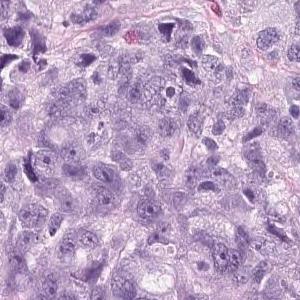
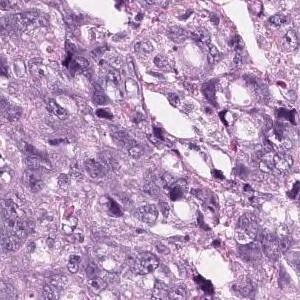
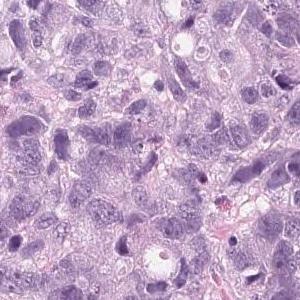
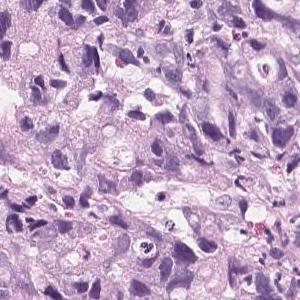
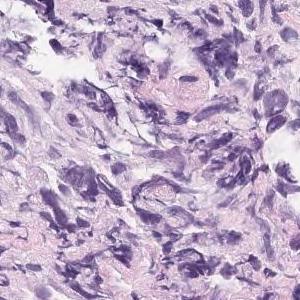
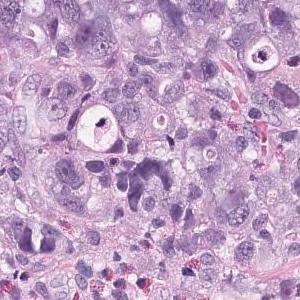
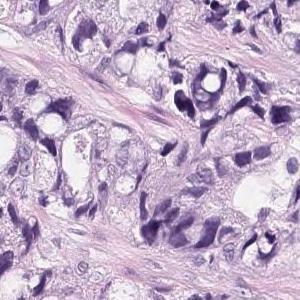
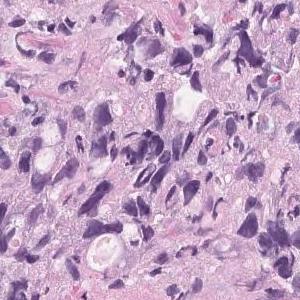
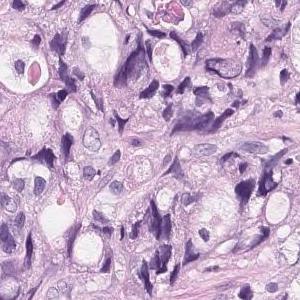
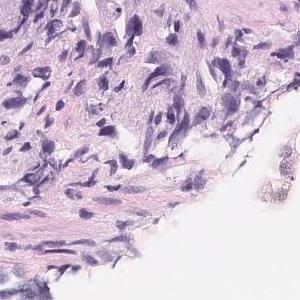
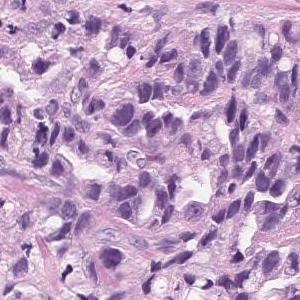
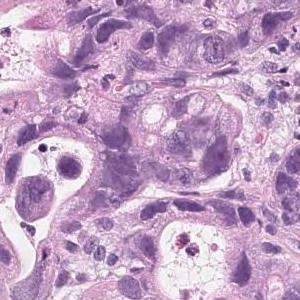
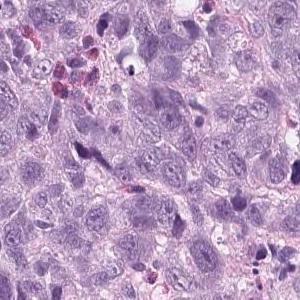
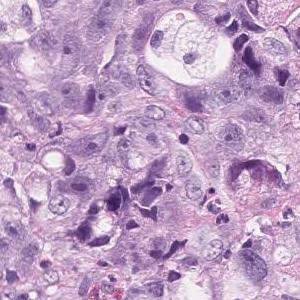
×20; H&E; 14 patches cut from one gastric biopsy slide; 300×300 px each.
Report on the slide these tiles come from. The report and the diagnosis cover the entire slide, so not every feature they name need be visible here, and some tissue shown may not be tumor.
Tumor tissue that infiltrates and proliferates by forming small glandular cavities in the superficial layer to the submucosa or forming a mass is observed. moderately differentiated tubular adenocarcinoma
